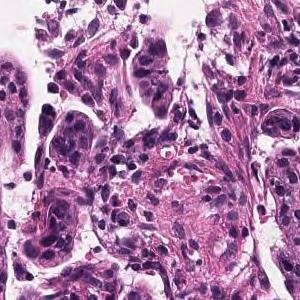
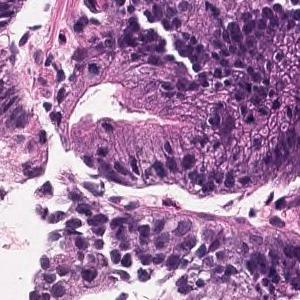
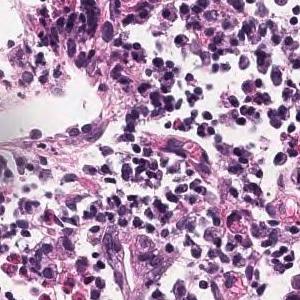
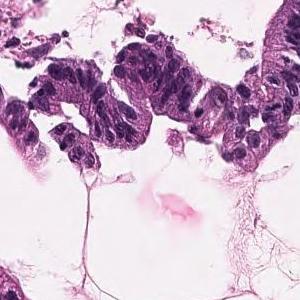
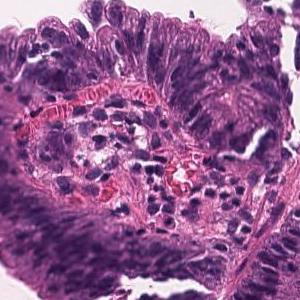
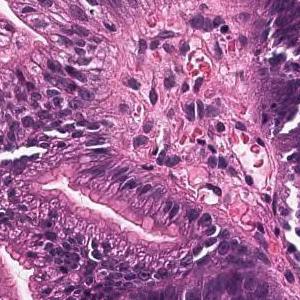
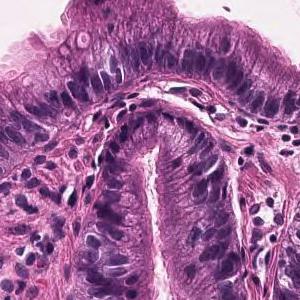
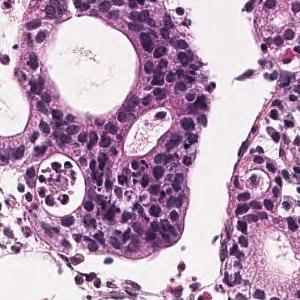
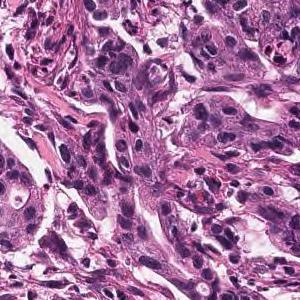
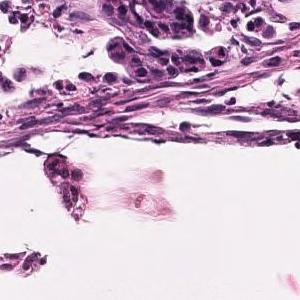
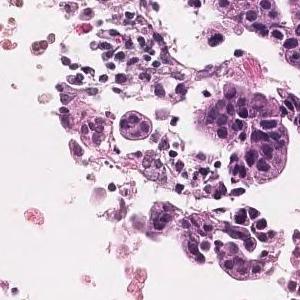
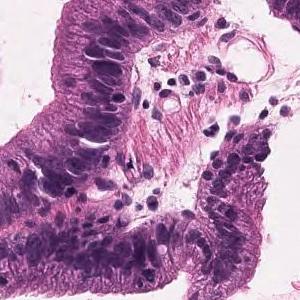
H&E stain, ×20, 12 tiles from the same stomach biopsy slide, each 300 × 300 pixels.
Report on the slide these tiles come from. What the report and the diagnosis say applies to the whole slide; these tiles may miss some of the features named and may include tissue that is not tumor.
Tumor tissue that grows invasively while the short atypical epithelium forms small ducts is observed. moderately differentiated tubular adenocarcinoma
